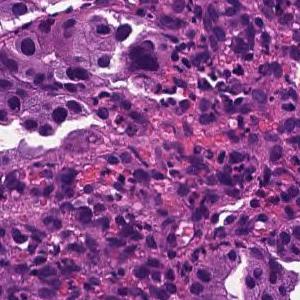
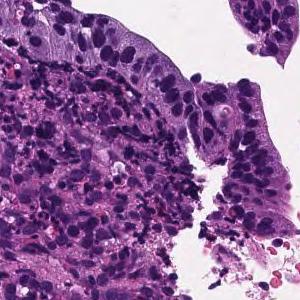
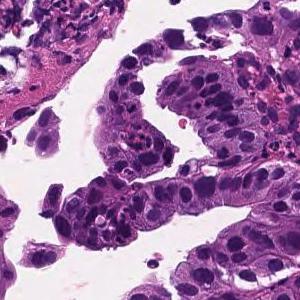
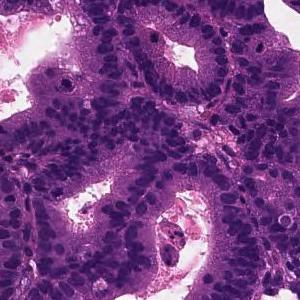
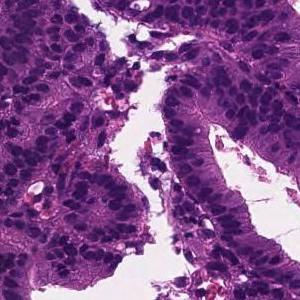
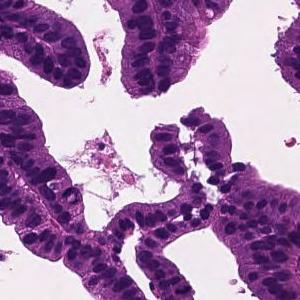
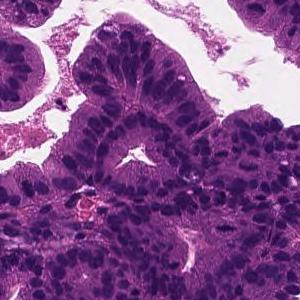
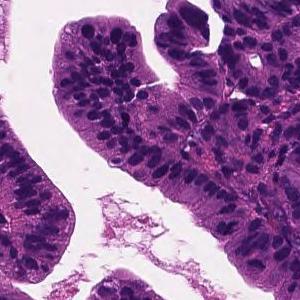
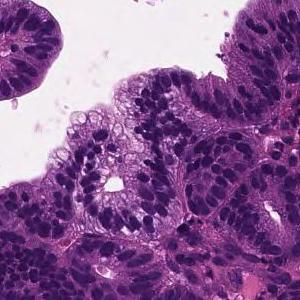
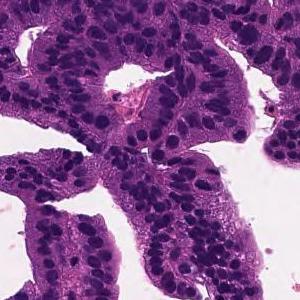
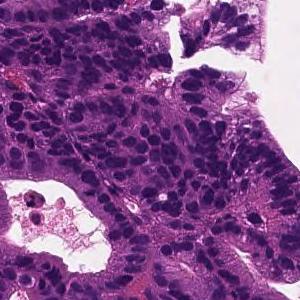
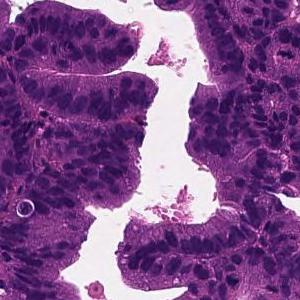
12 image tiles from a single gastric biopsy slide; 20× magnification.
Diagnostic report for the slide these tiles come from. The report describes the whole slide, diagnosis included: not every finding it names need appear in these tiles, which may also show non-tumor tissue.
Tumor cells are large, highly columnar, large club-shaped nuclei, and are associated with chromatin aggregation. Papillary adenocarcinoma.
